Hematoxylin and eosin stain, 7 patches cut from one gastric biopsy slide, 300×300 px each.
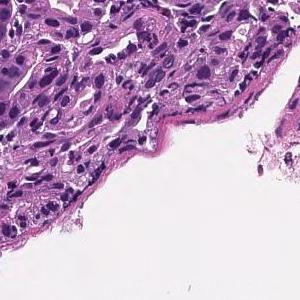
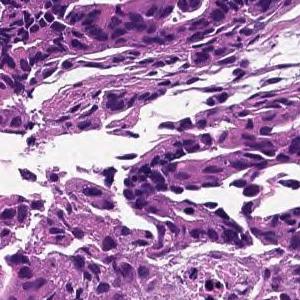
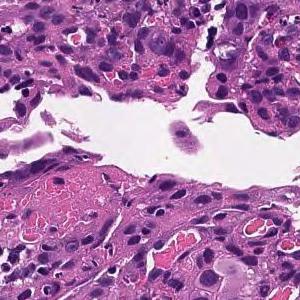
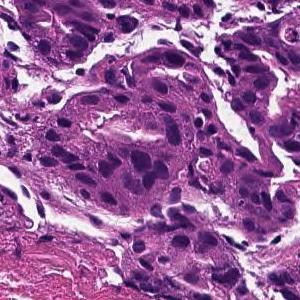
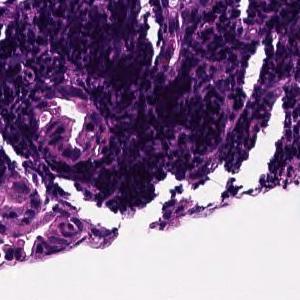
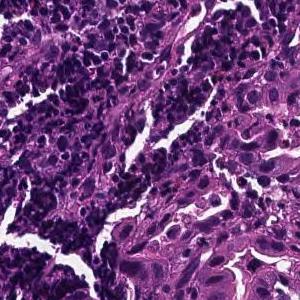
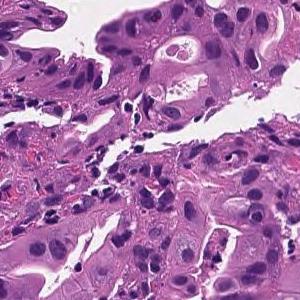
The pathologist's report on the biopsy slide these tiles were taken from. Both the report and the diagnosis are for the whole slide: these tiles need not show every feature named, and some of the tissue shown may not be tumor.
In the superficial epithelium, tumor tissue that invades by forming medium-sized to small, irregular ducts is observed. moderately differentiated tubular adenocarcinoma.
